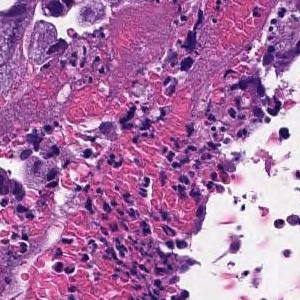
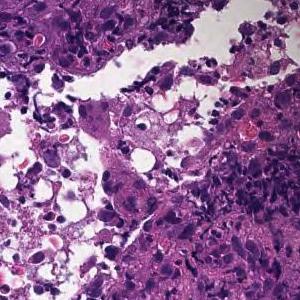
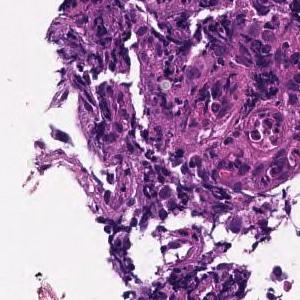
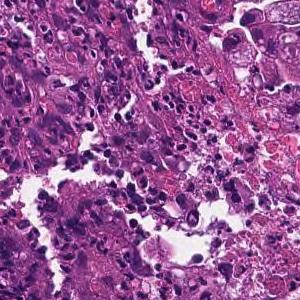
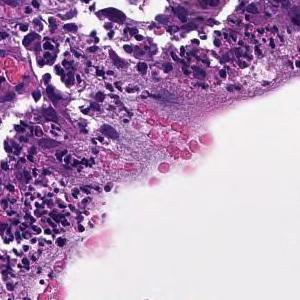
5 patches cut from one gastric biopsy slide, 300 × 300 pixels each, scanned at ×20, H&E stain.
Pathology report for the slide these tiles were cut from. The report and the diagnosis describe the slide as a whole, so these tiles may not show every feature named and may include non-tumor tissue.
Tumor cells are medium to large, cuboidal, and have little tendency to differentiate. Poorly differentiated adenocarcinoma, solid-type  or moderately differentiated tubular adenocarcinoma
The dataset labels this slide poorly differentiated adenocarcinoma, solid type, a category of the Japanese Classification of Gastric Carcinoma; in the WHO 2019 classification it is tubular adenocarcinoma, poorly differentiated.
